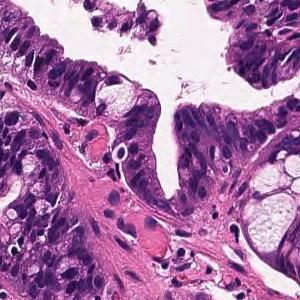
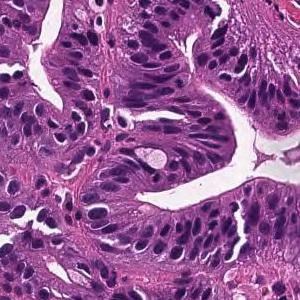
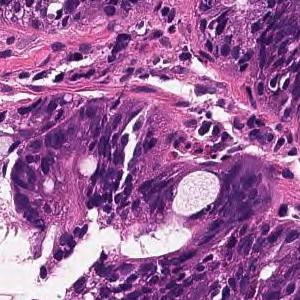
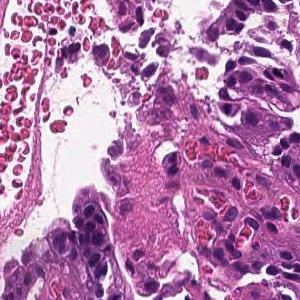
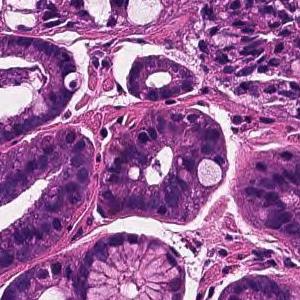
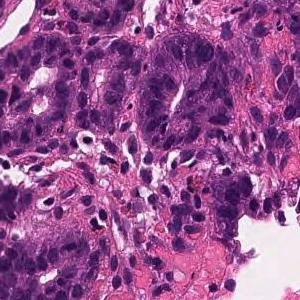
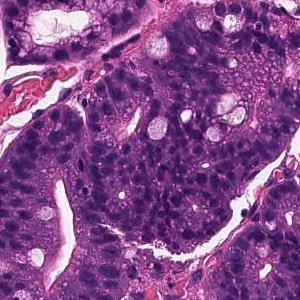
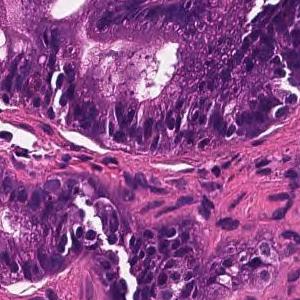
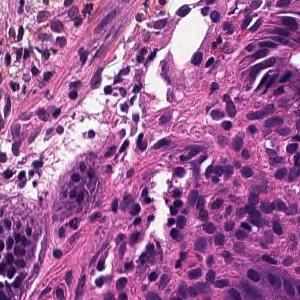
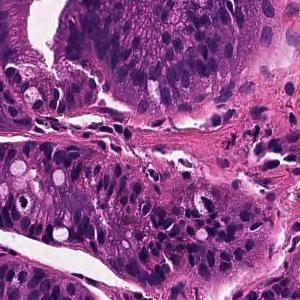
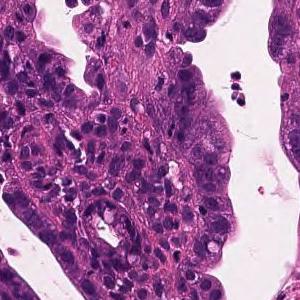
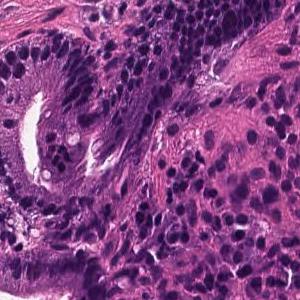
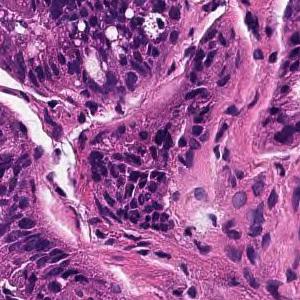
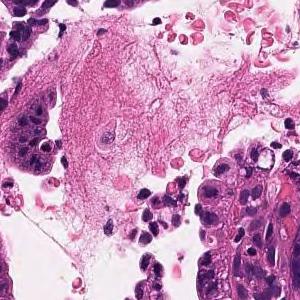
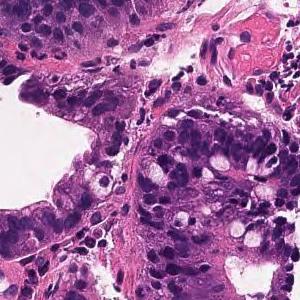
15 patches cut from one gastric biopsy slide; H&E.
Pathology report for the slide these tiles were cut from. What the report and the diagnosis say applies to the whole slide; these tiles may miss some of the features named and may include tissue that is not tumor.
On the superficial epithelium, tumor tissue that infiltrates by forming medium-sized papillary or small irregular ducts is observed. Papillary adenocarcinoma
